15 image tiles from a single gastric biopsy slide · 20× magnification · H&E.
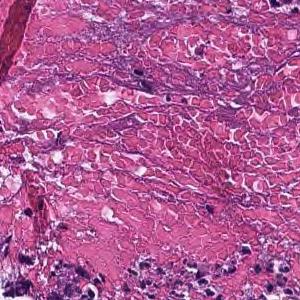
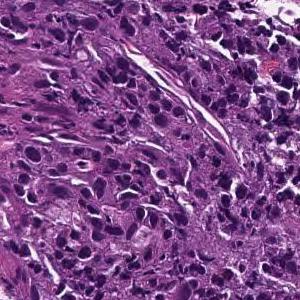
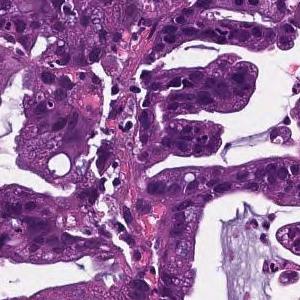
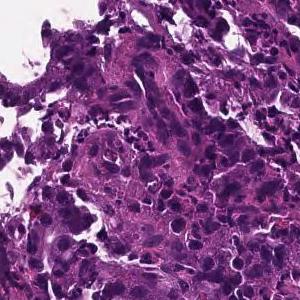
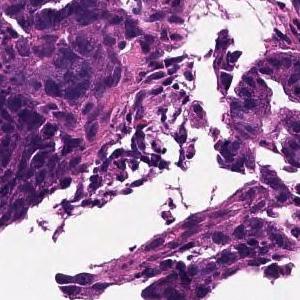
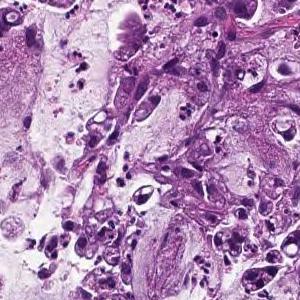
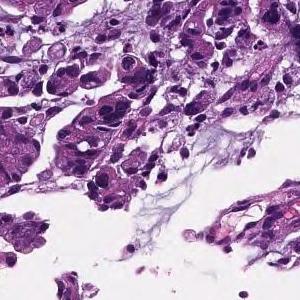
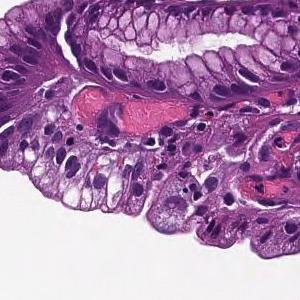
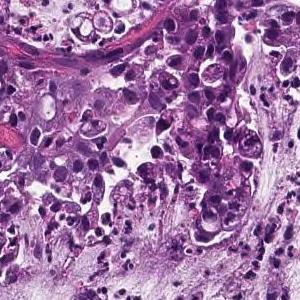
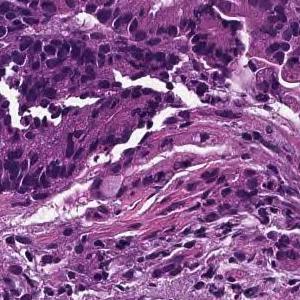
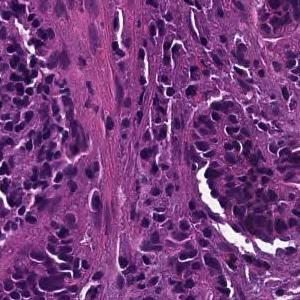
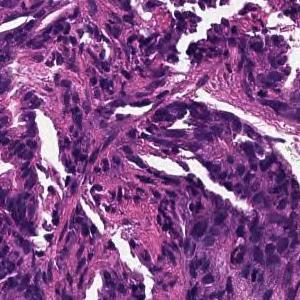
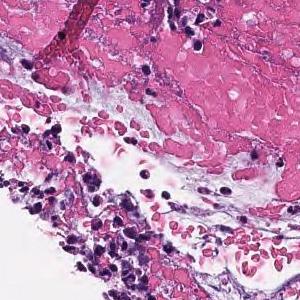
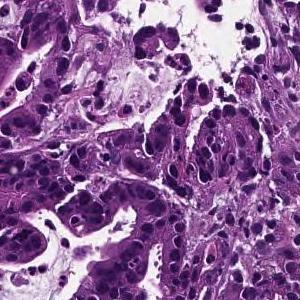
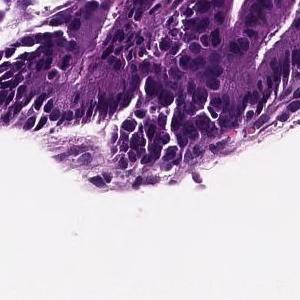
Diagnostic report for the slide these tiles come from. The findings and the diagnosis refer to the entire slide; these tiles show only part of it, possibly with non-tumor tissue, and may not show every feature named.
On the superficial epithelium, tumor tissue consisting of large irregular glandular ducts partially fused and infiltrated is observed. Well to moderately differentiated tubular adenocarcinoma (well differentiated tubular adenocarcinoma, moderately differentiated tubular adenocarcinoma)
Classified as well to moderately differentiated tubular adenocarcinoma.
